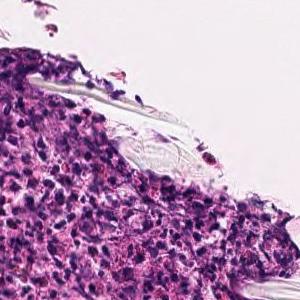
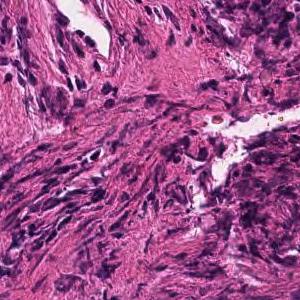
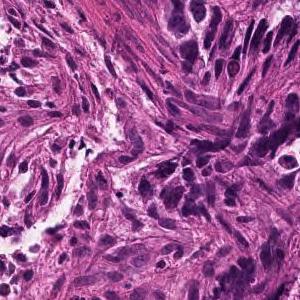
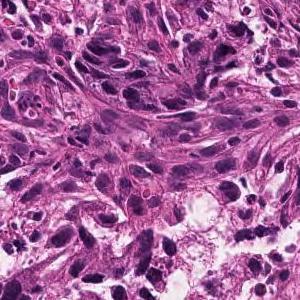
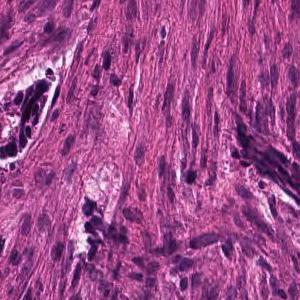
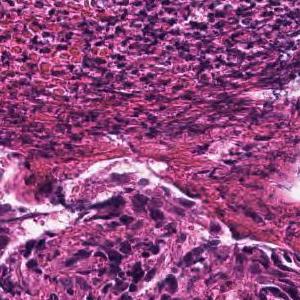
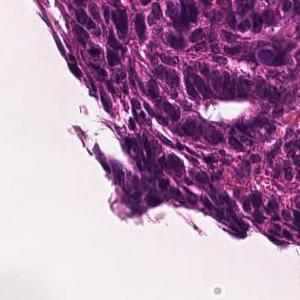
Hematoxylin and eosin stain; 7 image tiles from a single gastric biopsy slide.
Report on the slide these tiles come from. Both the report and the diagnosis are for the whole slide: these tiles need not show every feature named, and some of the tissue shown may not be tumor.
In the superficial epithelium, tumor tissue that invades by forming medium-sized to small, irregular ducts is observed. moderately differentiated tubular adenocarcinoma.
